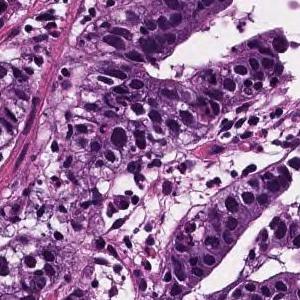
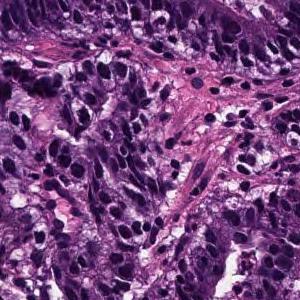
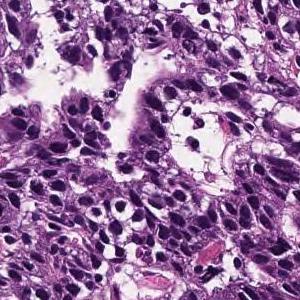
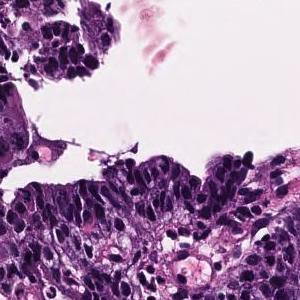
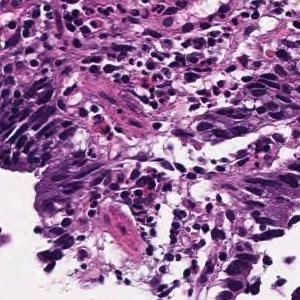
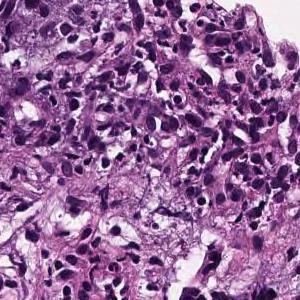
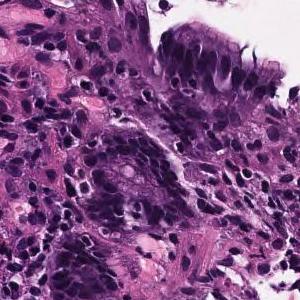
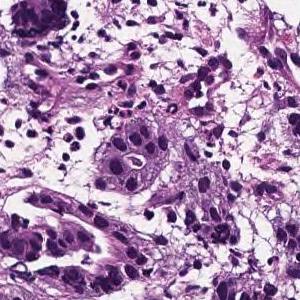
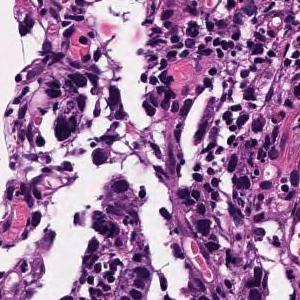
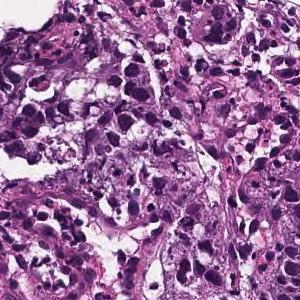
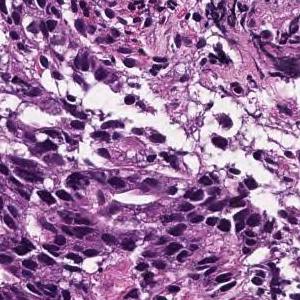
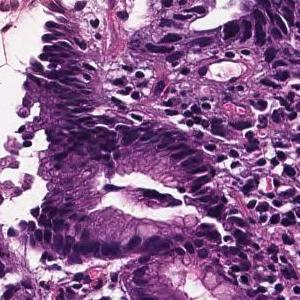
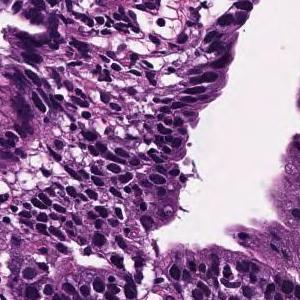
13 tiles from the same stomach biopsy slide, each 300 × 300 pixels, hematoxylin and eosin stain, ×20.
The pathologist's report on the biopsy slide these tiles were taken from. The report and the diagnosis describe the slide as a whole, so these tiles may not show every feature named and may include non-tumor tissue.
Atypical l cells with atypical nuclei forming diffuse or small irregular atypical ducts and growing. Moderately to poorly differentiated adenocarcinoma (poorly differentiated adenocarcinoma, solid type moderately differentiated tubular adenocarcinoma)
Tumor subtype: moderately to poorly differentiated adenocarcinoma.
"Solid type" is a category of the Japanese Classification of Gastric Carcinoma; in the WHO 2019 classification it is tubular adenocarcinoma, poorly differentiated.
